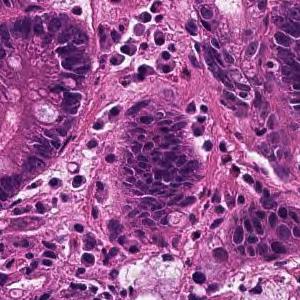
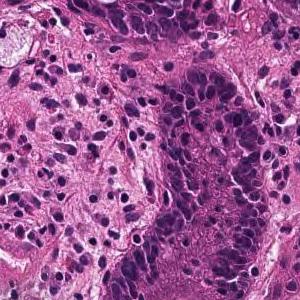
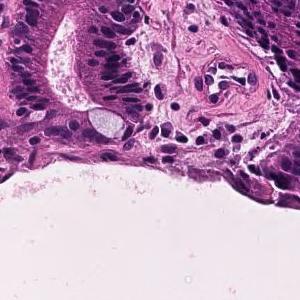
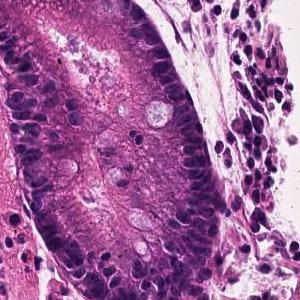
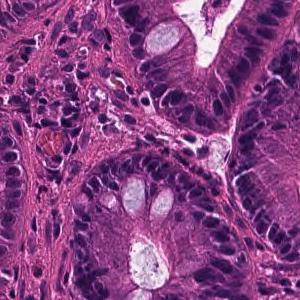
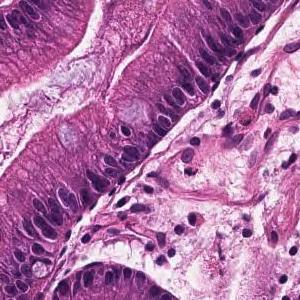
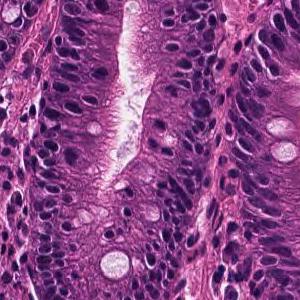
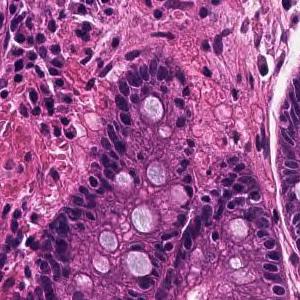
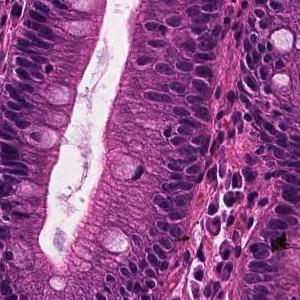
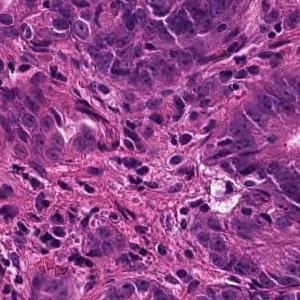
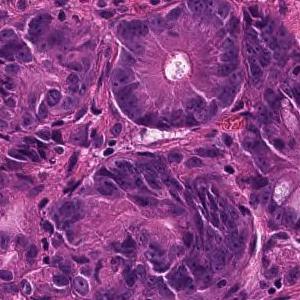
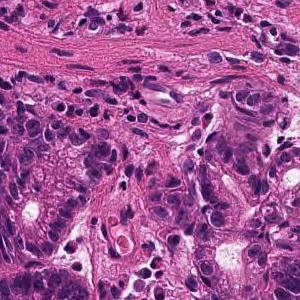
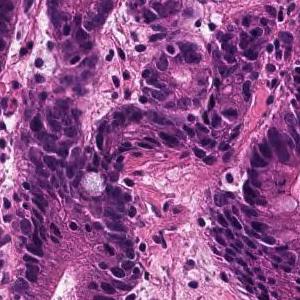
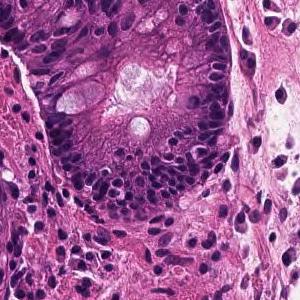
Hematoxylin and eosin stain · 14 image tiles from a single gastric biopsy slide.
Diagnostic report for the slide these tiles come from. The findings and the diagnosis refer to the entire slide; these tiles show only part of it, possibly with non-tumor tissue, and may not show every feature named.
Medium to small, irregular glandular ducts are formed in the superficial epithelium, and in some cases, the glandular ducts are fused to show solid alveolar lesions and infiltrating tumor tissue is observed. Moderately to poorly differentiated adenocarcinoma.
